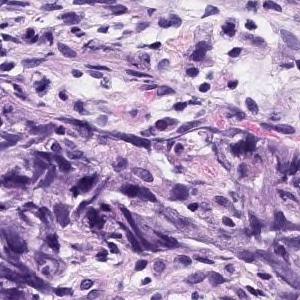
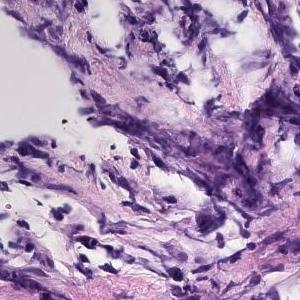
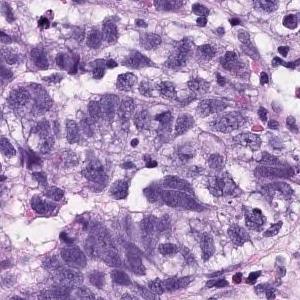
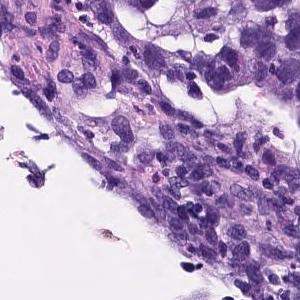
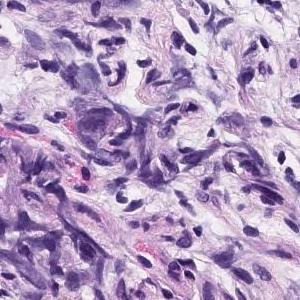
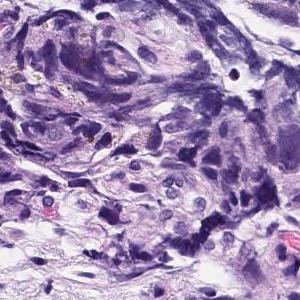
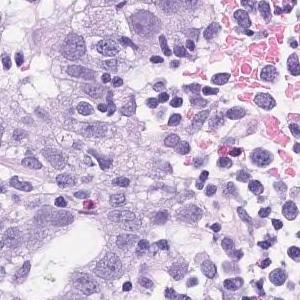
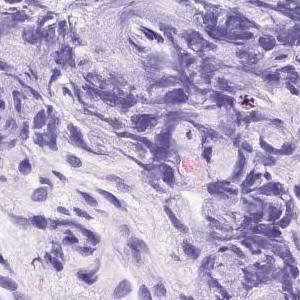
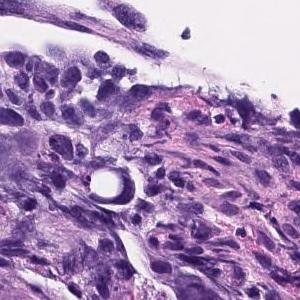
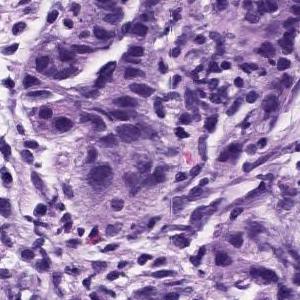
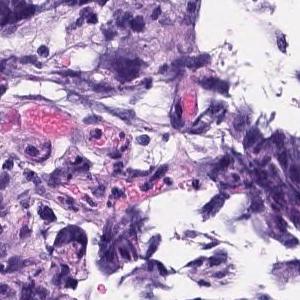
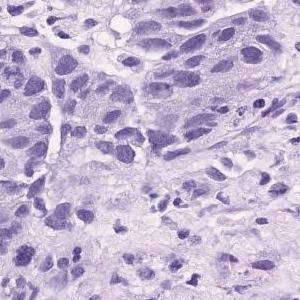
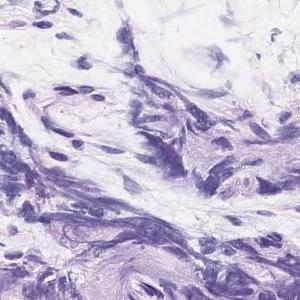
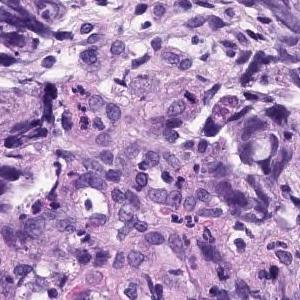
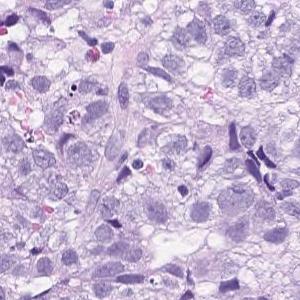
15 tiles cut from one stomach biopsy slide, 300 × 300 pixels each, scanned at ×20, hematoxylin and eosin stain.
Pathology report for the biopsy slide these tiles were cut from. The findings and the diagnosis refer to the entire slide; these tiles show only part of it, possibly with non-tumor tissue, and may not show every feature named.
Atypical epithelial cells with an increased N/C ratio proliferate and consist of a part that shows the formation of gland ducts and a part that shows solid growth. Poorly differentiated adenocarcinoma, solid-type
Histological subtype: Poorly differentiated adenocarcinoma, solid type, a category of the Japanese Classification of Gastric Carcinoma; in the WHO 2019 classification it is tubular adenocarcinoma, poorly differentiated.
